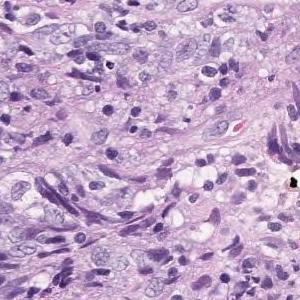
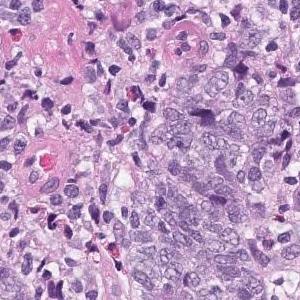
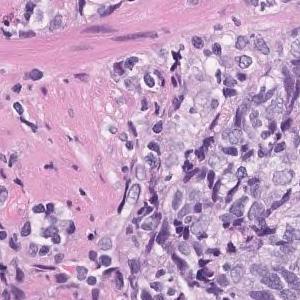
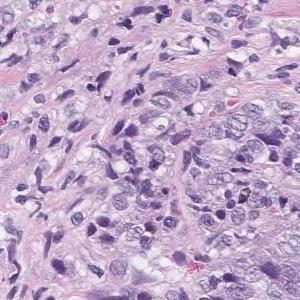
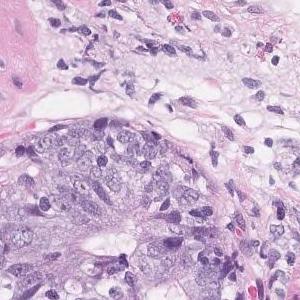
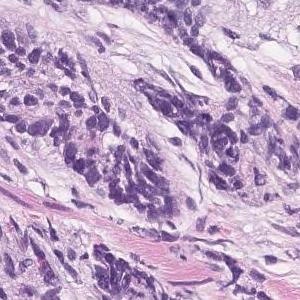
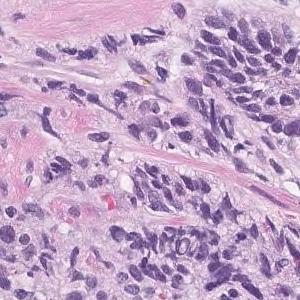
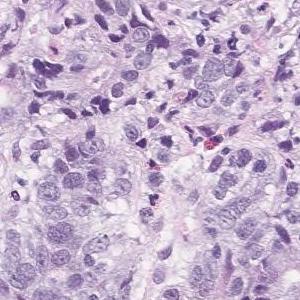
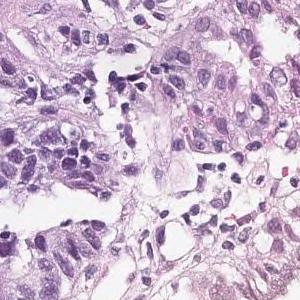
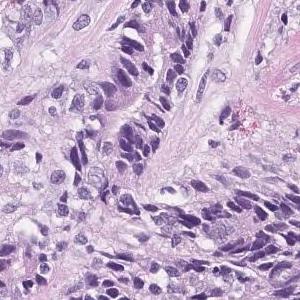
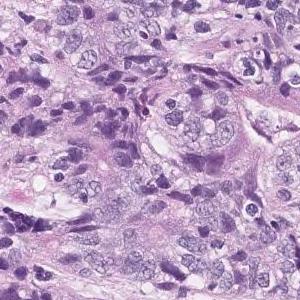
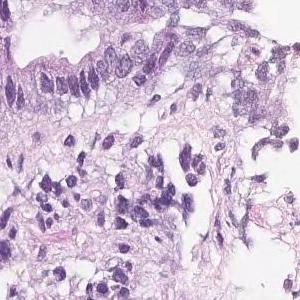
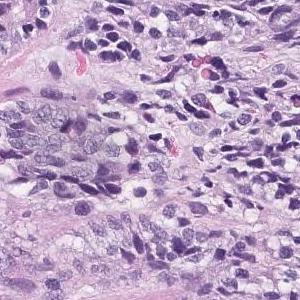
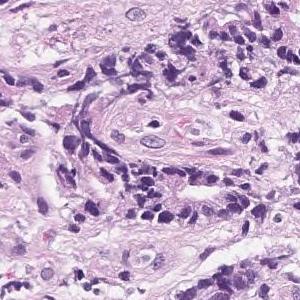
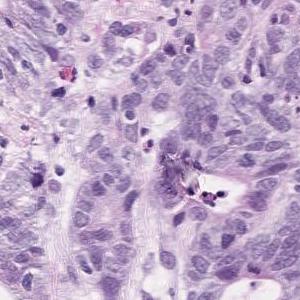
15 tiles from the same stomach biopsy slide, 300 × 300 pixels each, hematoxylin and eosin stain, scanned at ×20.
Diagnostic report for the slide these tiles come from. The findings and the diagnosis refer to the entire slide; these tiles show only part of it, possibly with non-tumor tissue, and may not show every feature named.
Highly columnar epithelium with disordered nuclear localization proliferates showing fusion ductal construction. moderately differentiated tubular adenocarcinoma
